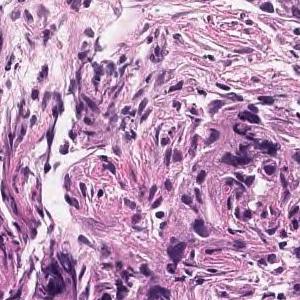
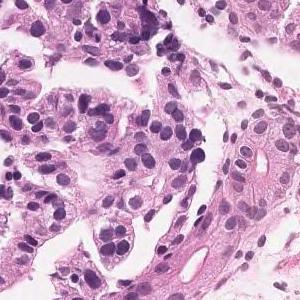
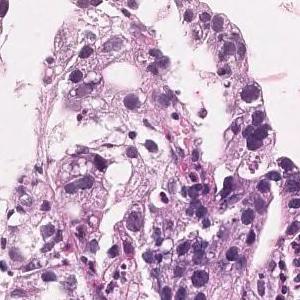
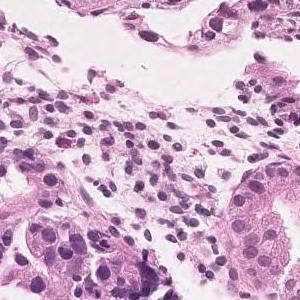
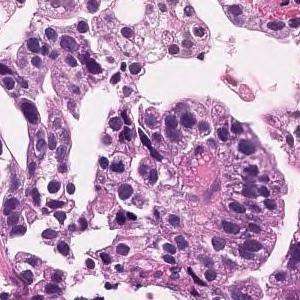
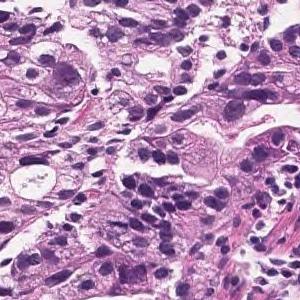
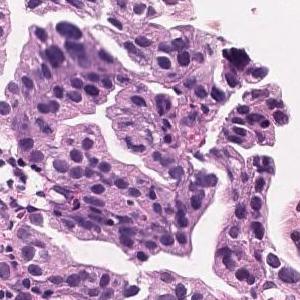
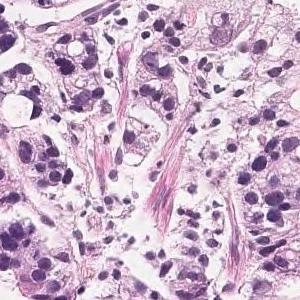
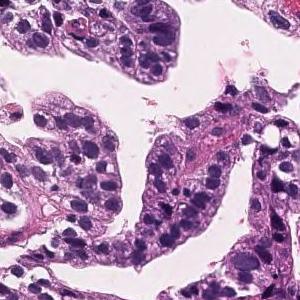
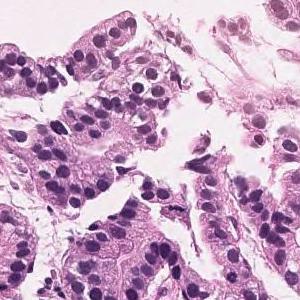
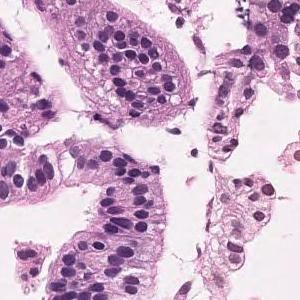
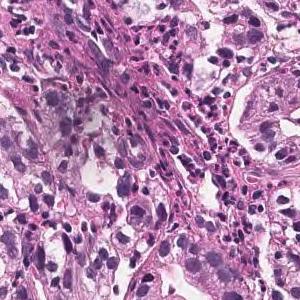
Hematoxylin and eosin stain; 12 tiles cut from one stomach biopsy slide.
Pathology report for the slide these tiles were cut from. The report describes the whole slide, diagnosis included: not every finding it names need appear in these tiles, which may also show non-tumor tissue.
In the superficial epithelium, tumor tissue that invades by forming medium-sized to small, irregular ducts is observed. moderately differentiated tubular adenocarcinoma.
